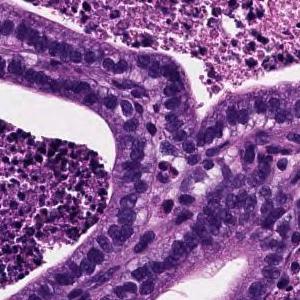
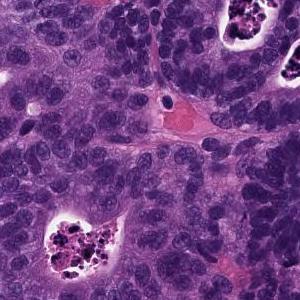
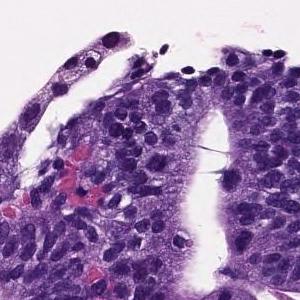
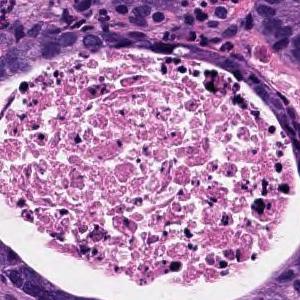
Scanned at ×20 · 4 tiles cut from one stomach biopsy slide.
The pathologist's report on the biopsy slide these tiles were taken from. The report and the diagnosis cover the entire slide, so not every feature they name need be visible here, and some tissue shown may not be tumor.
From the superficial epithelium to the muscularis mucosae, tumor tissue consisting of medium-sized and irregular glandular ducts infiltrating is observed. Well differentiated tubular adenocarcinoma
